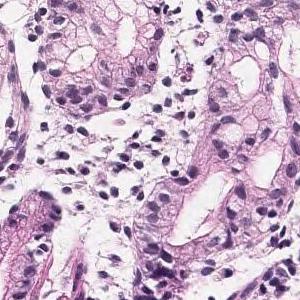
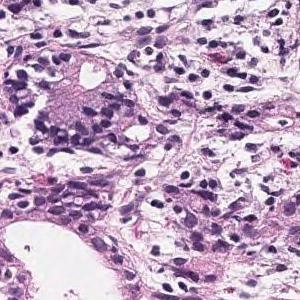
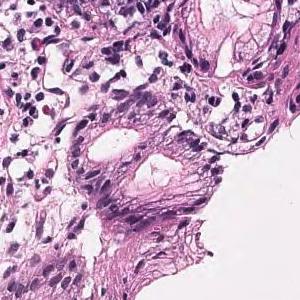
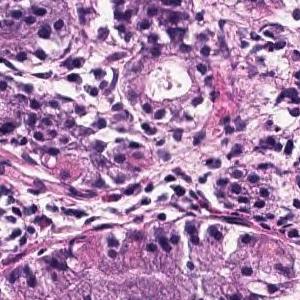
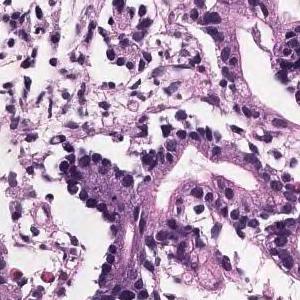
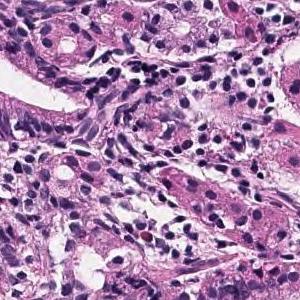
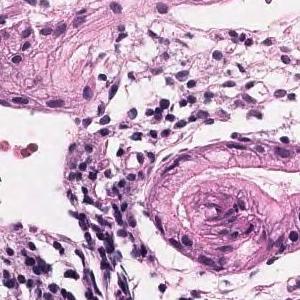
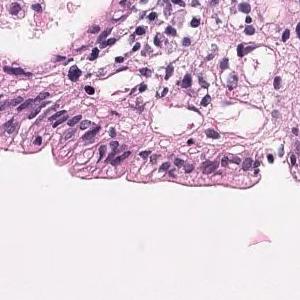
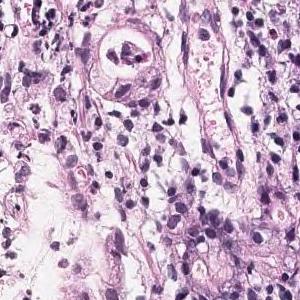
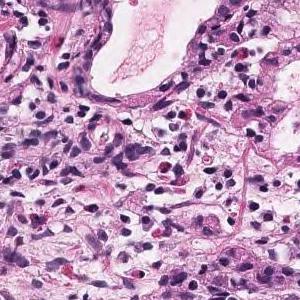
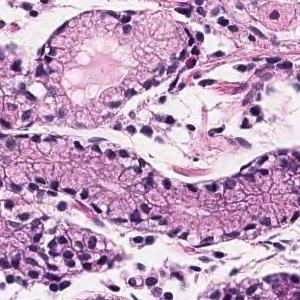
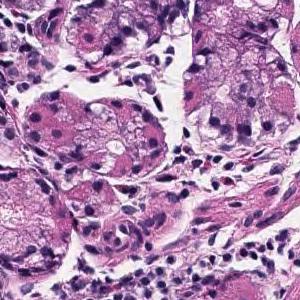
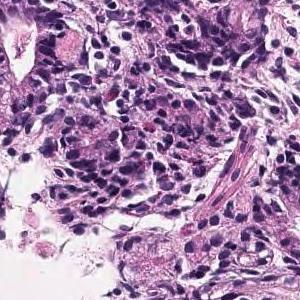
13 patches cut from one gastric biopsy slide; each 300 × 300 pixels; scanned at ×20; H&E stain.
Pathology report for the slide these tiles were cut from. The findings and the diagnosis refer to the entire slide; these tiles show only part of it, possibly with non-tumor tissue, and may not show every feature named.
Tumor tissue that grows and grows is observed, showing a medium-sized round or irregular duct. moderately differentiated tubular adenocarcinoma
